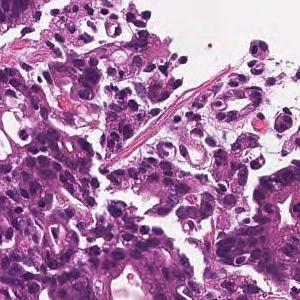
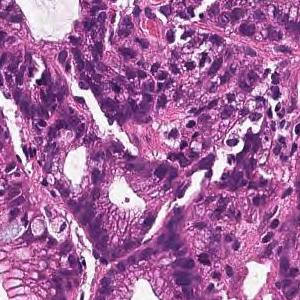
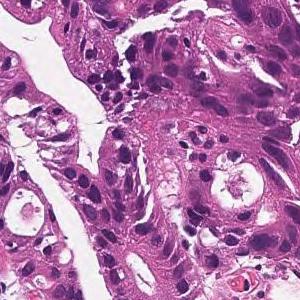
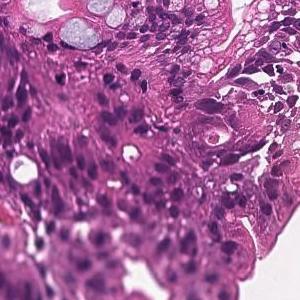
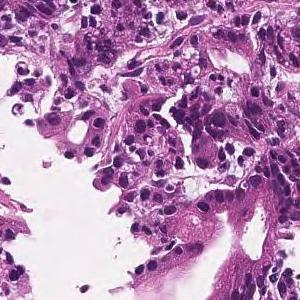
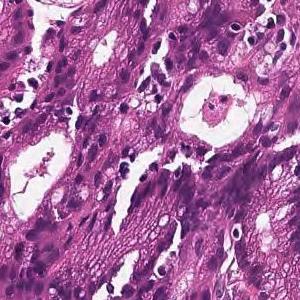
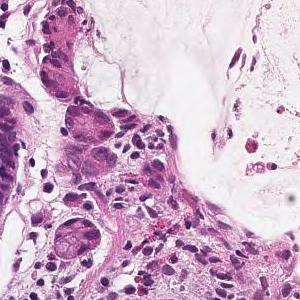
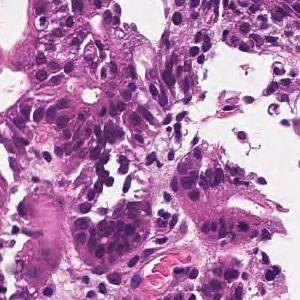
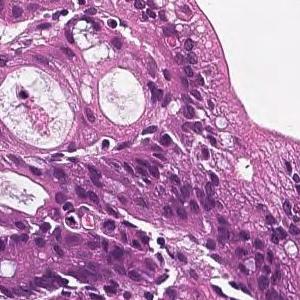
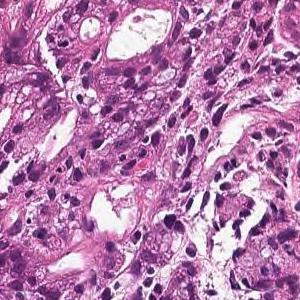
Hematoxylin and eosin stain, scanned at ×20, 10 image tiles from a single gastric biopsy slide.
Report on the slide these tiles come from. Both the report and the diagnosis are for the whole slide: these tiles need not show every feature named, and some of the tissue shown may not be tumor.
In the superficial epithelium, tumor tissue that invades by forming medium-sized to small, irregular ducts is observed. moderately differentiated tubular adenocarcinoma.
